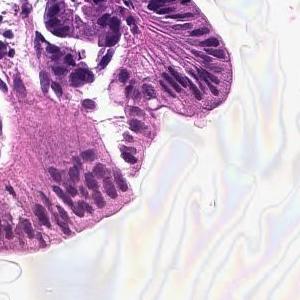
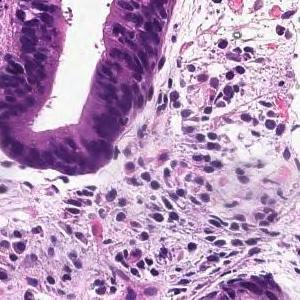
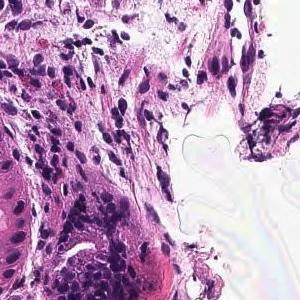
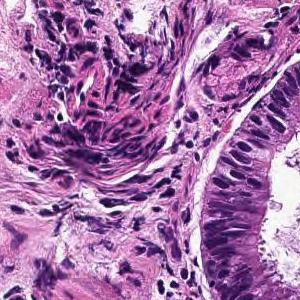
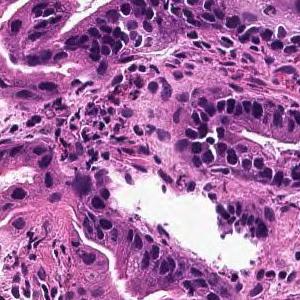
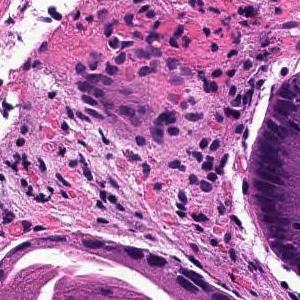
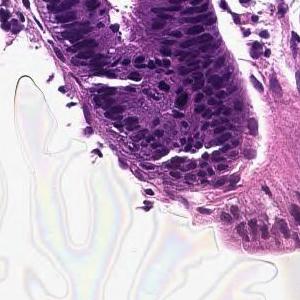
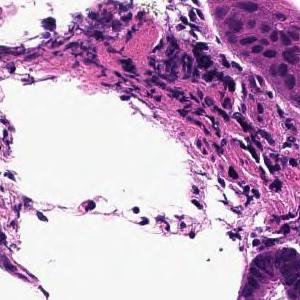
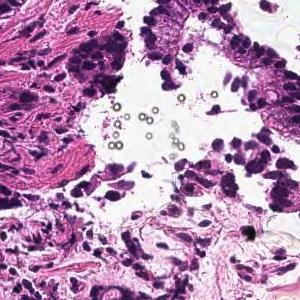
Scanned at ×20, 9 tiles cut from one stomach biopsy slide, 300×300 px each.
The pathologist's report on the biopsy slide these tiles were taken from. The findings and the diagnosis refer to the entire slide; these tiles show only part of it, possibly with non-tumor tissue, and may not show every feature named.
From the superficial epithelium to the muscularis mucosae, tumor tissue consisting of medium-sized and irregular glandular ducts infiltrating is observed. Well differentiated tubular adenocarcinoma
